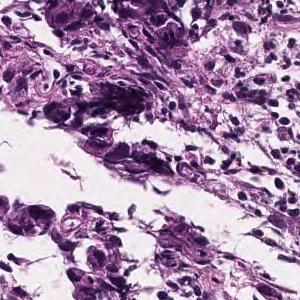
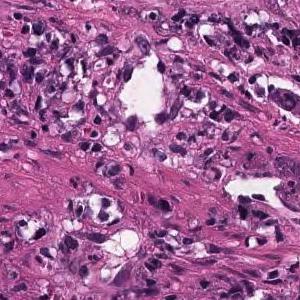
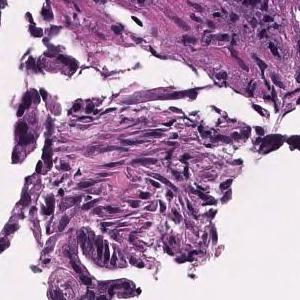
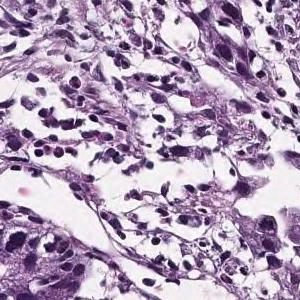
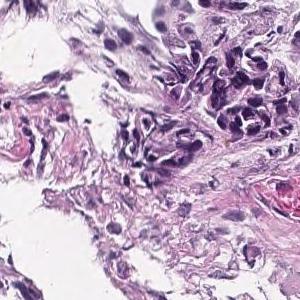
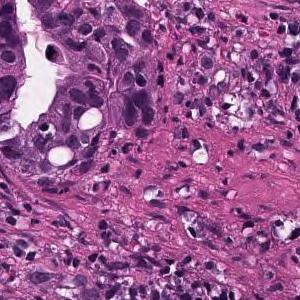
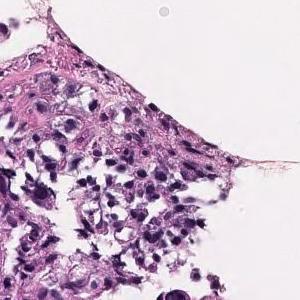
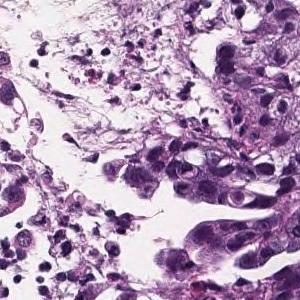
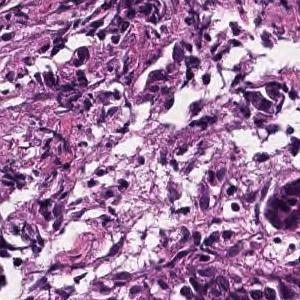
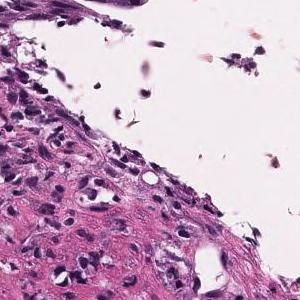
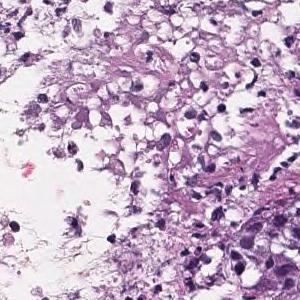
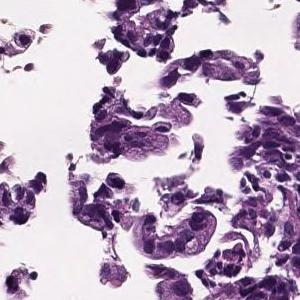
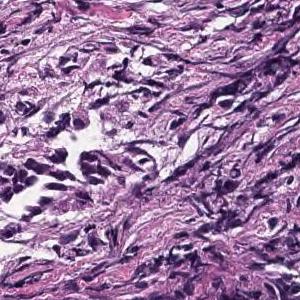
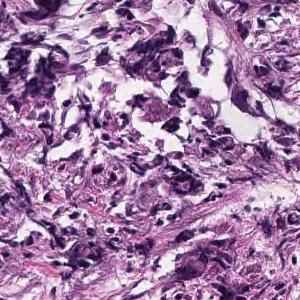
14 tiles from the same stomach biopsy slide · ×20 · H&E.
Pathology report for the biopsy slide these tiles were cut from. The findings and the diagnosis refer to the entire slide; these tiles show only part of it, possibly with non-tumor tissue, and may not show every feature named.
In the superficial epithelium, tumor tissue that invades by forming medium-sized to small, irregular ducts is observed. moderately differentiated tubular adenocarcinoma.
